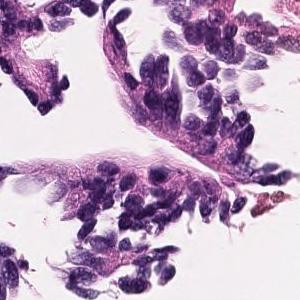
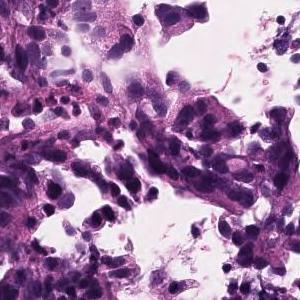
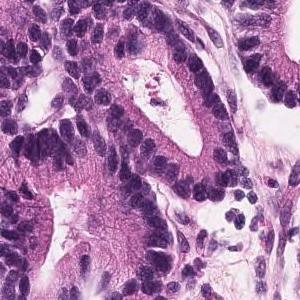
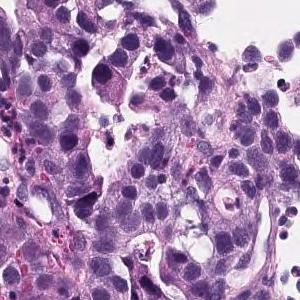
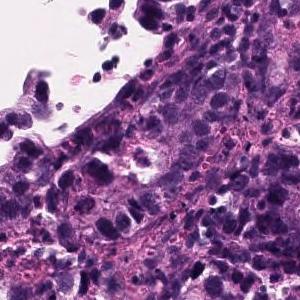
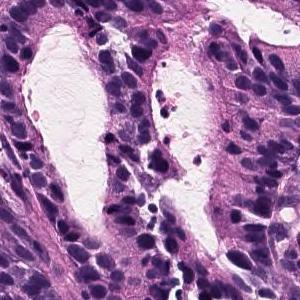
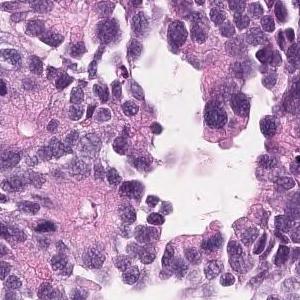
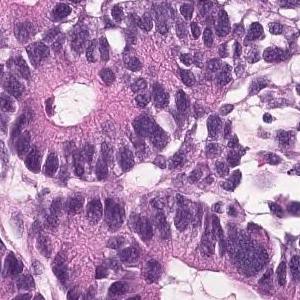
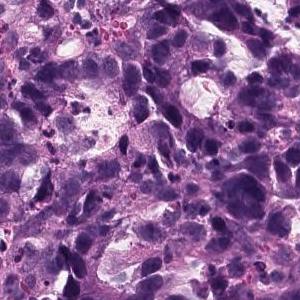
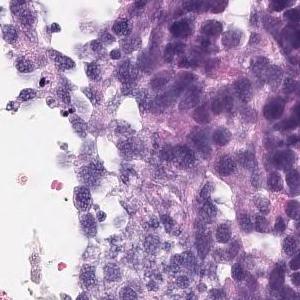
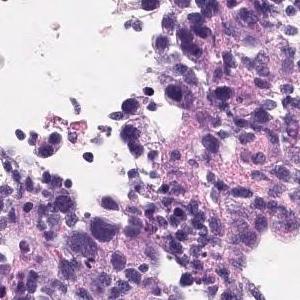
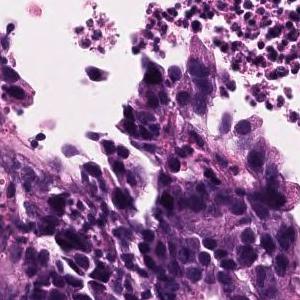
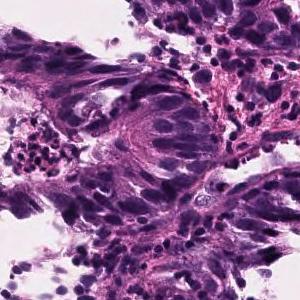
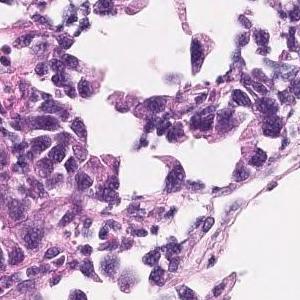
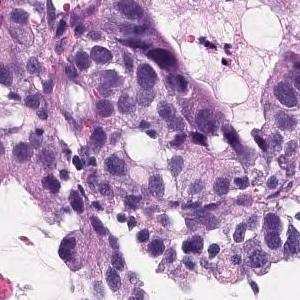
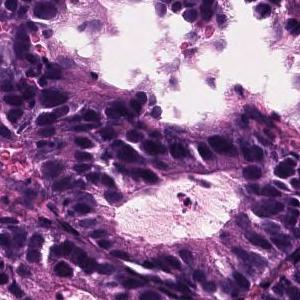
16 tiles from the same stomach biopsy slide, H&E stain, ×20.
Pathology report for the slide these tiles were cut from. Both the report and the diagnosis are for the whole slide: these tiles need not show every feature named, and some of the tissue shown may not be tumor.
In the superficial epithelium, tumor tissue that invades by forming medium-sized to small, irregular ducts is observed. moderately differentiated tubular adenocarcinoma.
